Hematoxylin and eosin stain · scanned at ×20 · 11 tiles from the same stomach biopsy slide.
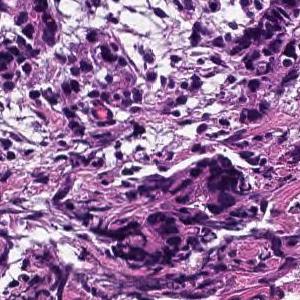
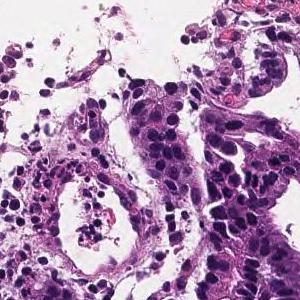
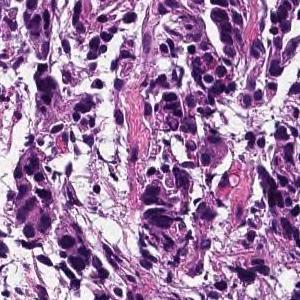
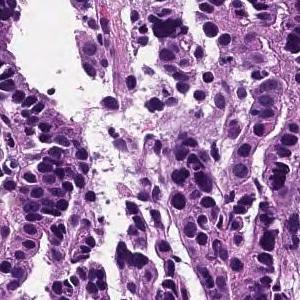
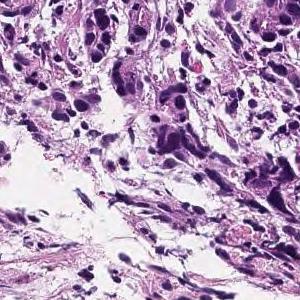
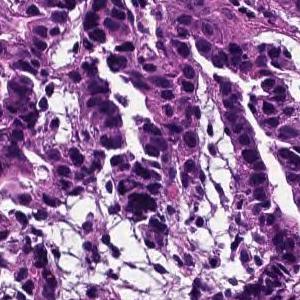
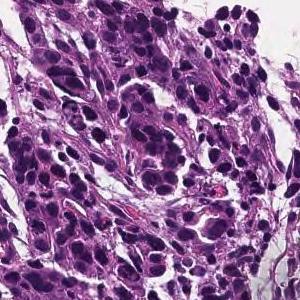
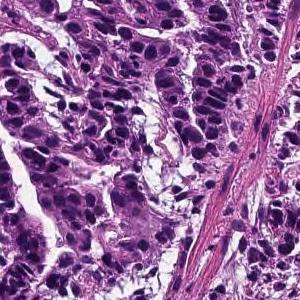
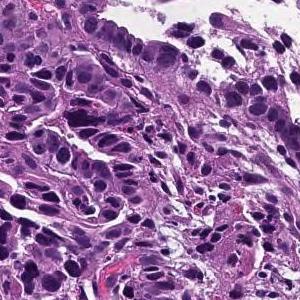
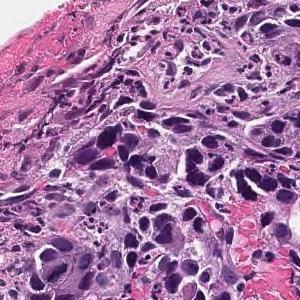
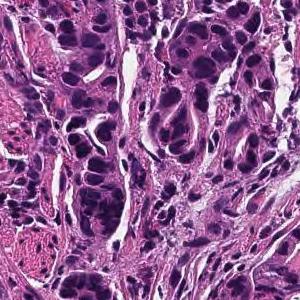
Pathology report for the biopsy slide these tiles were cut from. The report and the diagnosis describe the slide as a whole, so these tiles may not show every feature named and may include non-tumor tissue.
In the superficial epithelium, tumor tissue that invades by forming medium-sized to small, irregular ducts is observed. moderately differentiated tubular adenocarcinoma.
